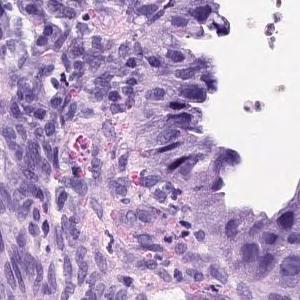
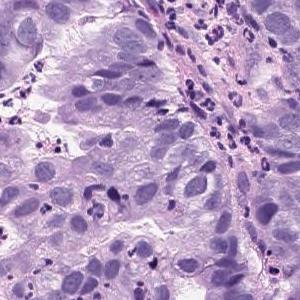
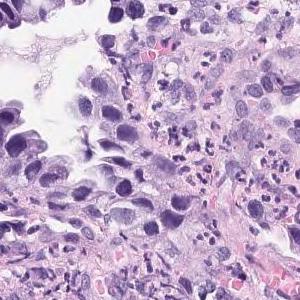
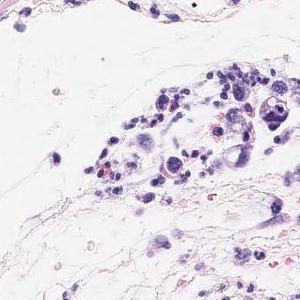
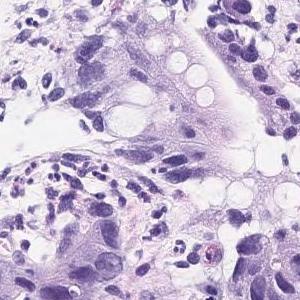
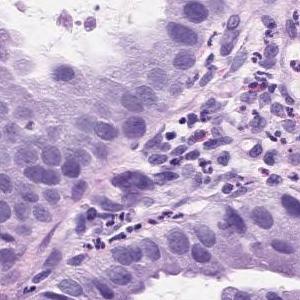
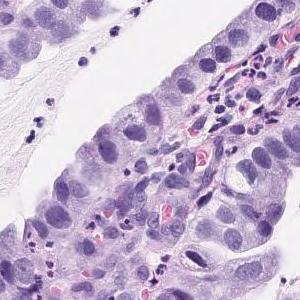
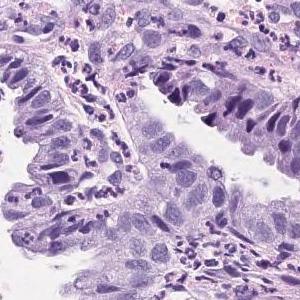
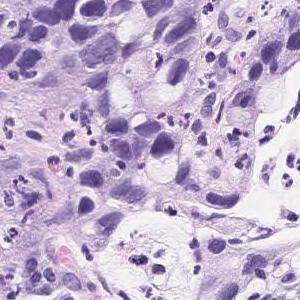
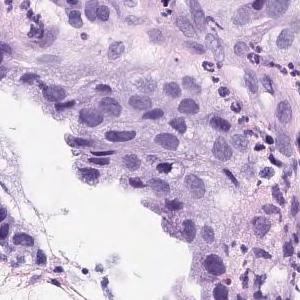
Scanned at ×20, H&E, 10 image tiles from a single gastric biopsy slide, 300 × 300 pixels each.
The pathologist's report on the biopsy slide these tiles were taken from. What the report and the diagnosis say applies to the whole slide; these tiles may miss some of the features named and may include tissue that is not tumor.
Atypical l cells with atypical nuclei forming solid or diffuse vesicles or small irregular atypical ducts and growing in a complex manner. Well differentiated tubular adenocarcinoma
